11 patches cut from one gastric biopsy slide.
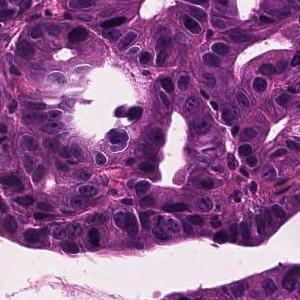
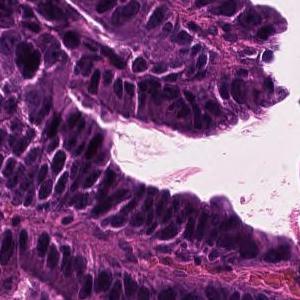
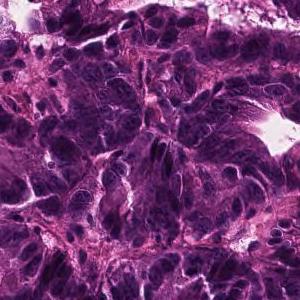
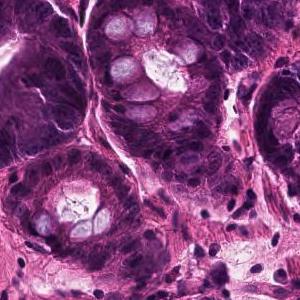
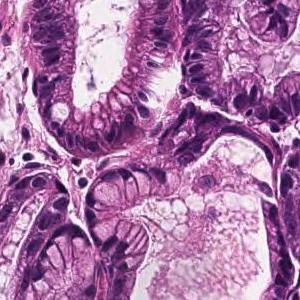
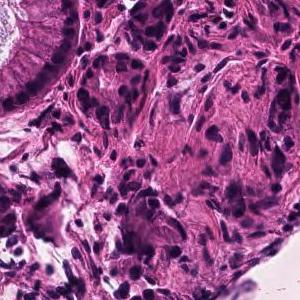
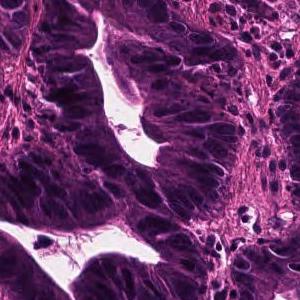
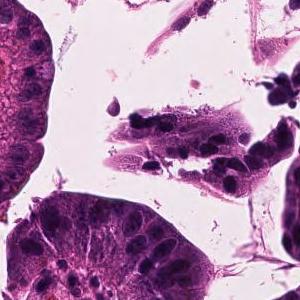
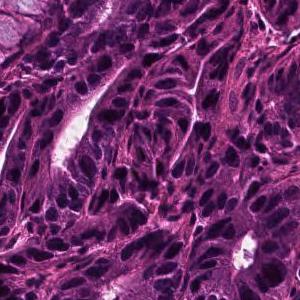
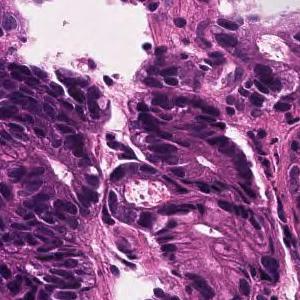
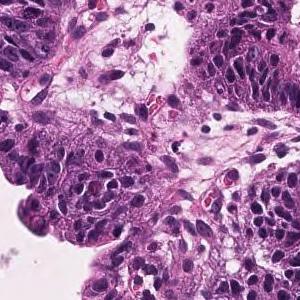
Pathology report for the slide these tiles were cut from. The report describes the whole slide, diagnosis included: not every finding it names need appear in these tiles, which may also show non-tumor tissue.
In the superficial epithelium, tumor tissue that invades by forming medium-sized to small, irregular ducts is observed. Well differentiated tubular adenocarcinoma.
